14 image tiles from a single gastric biopsy slide; 300 × 300 pixels each; H&E stain; ×20.
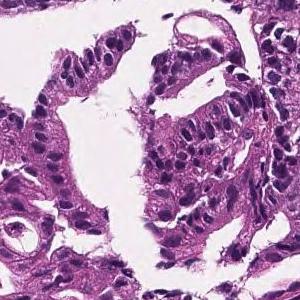
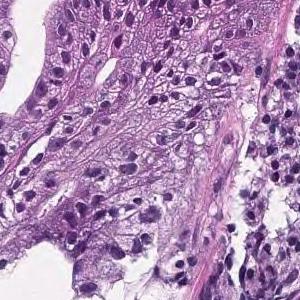
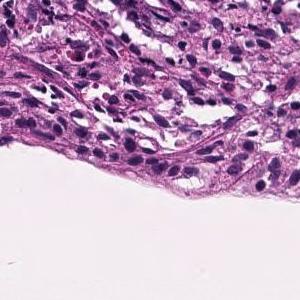
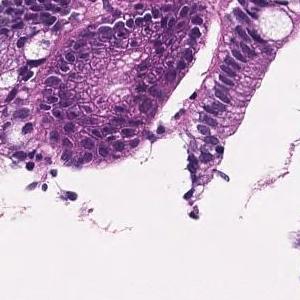
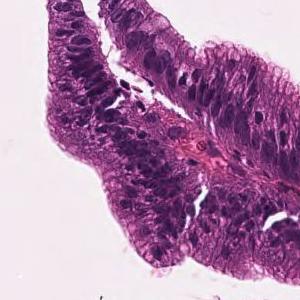
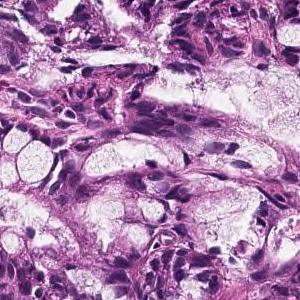
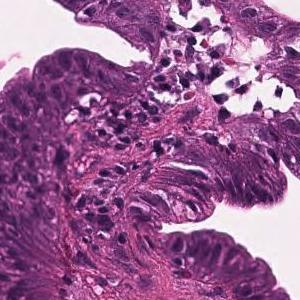
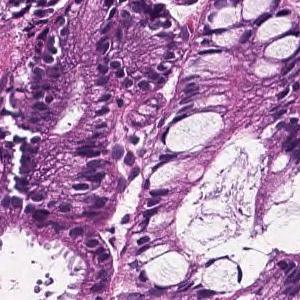
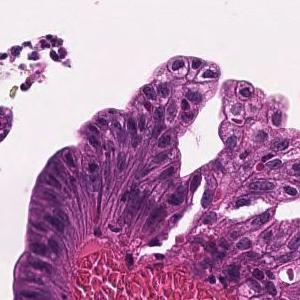
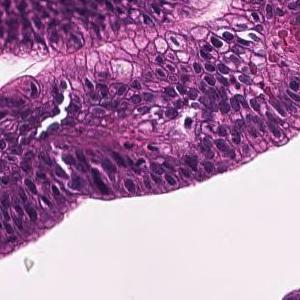
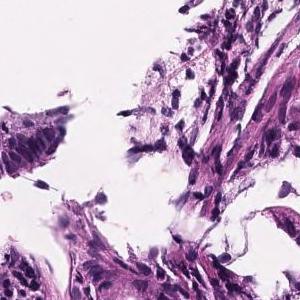
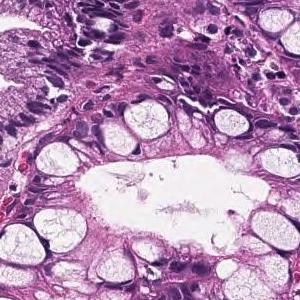
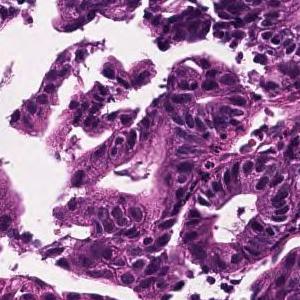
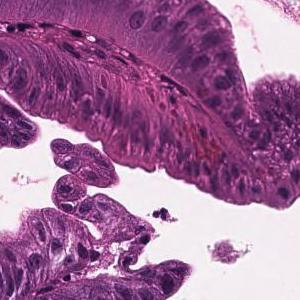
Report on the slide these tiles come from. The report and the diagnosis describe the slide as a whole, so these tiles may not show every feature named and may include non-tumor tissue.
In the superficial epithelium, tumor tissue that invades by forming medium-sized to small, irregular ducts is observed. Well differentiated tubular adenocarcinoma.
